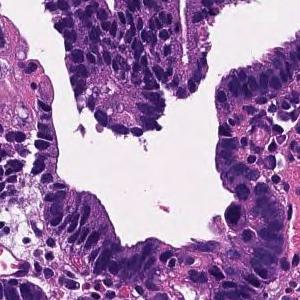
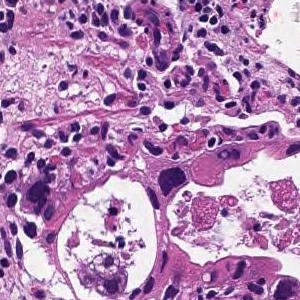
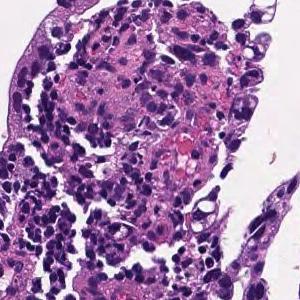
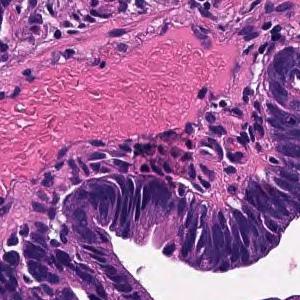
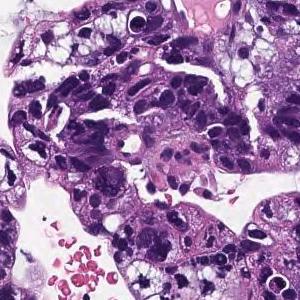
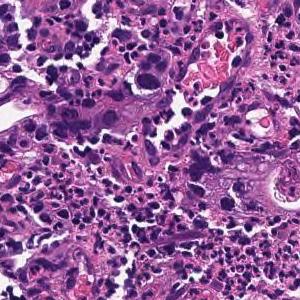
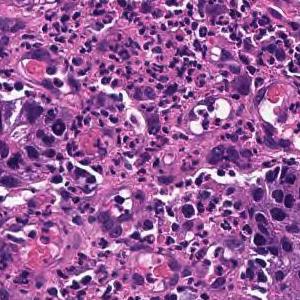
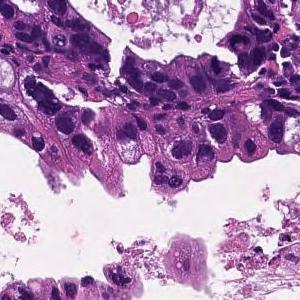
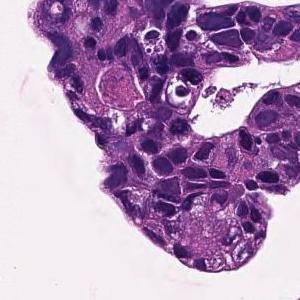
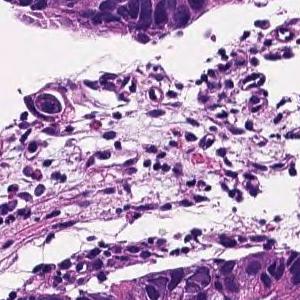
Scanned at ×20; 10 image tiles from a single gastric biopsy slide.
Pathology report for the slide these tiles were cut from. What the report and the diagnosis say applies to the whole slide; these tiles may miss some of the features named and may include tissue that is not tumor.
In the superficial epithelium, tumor tissue that invades by forming medium-sized to small, irregular ducts is observed. moderately differentiated tubular adenocarcinoma.
